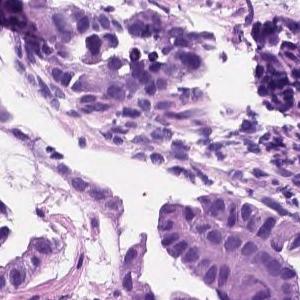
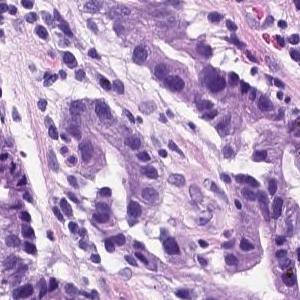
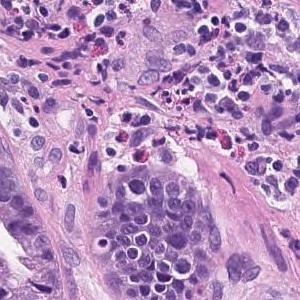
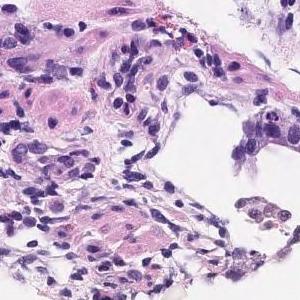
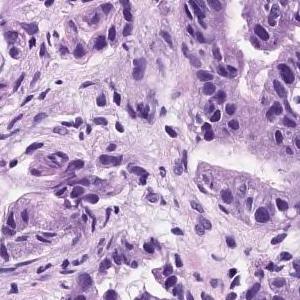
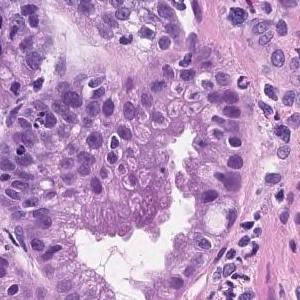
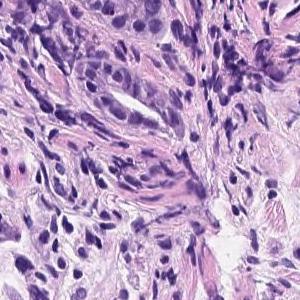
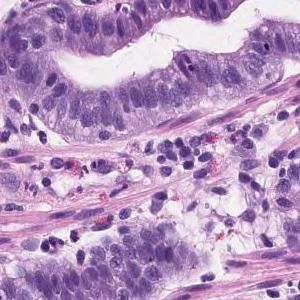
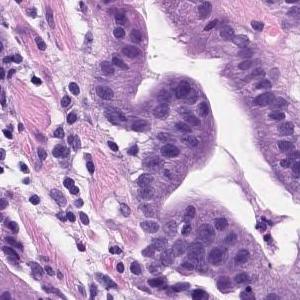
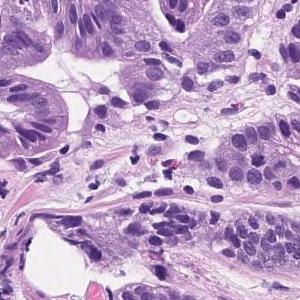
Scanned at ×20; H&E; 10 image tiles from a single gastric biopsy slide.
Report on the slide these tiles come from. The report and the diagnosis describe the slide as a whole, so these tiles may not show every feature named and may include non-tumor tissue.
Tumor tissue consisting of medium-sized and irregular ducts is observed infiltrating in the superficial epithelium. Tumor cells are highly columnar, with nuclei aligned basolaterally and polarized. Well differentiated tubular adenocarcinoma.
